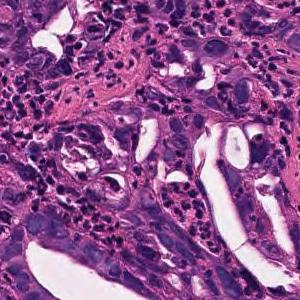
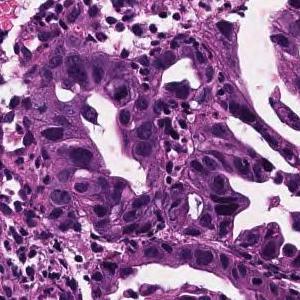
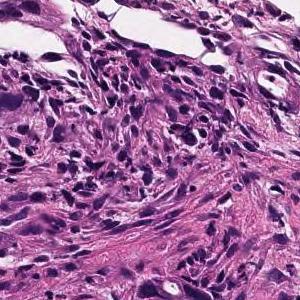
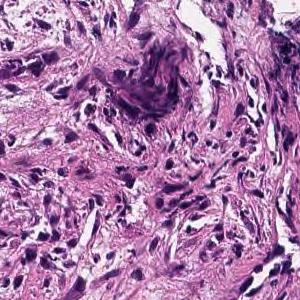
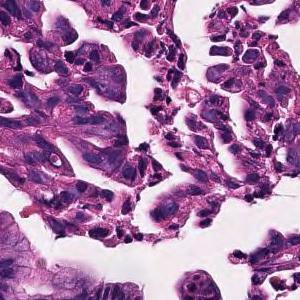
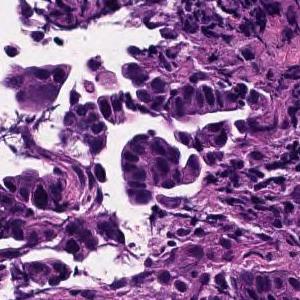
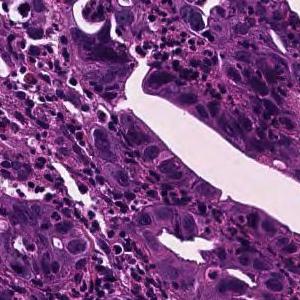
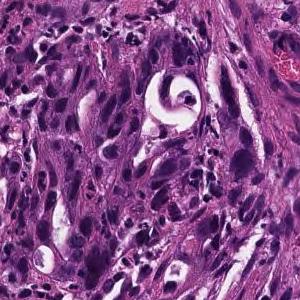
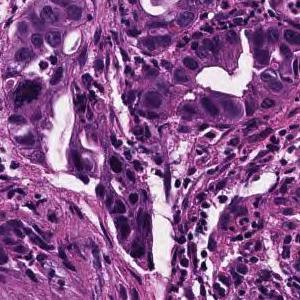
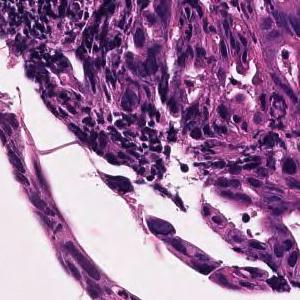
Hematoxylin and eosin stain, scanned at ×20, 10 tiles cut from one stomach biopsy slide, 300 × 300 pixels each.
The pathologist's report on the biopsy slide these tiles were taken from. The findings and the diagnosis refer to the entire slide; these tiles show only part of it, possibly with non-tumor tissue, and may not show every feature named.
In the superficial epithelium, medium-sized to small irregular glandular ducts are formed, and in some cases, the glandular ducts are fused or small cord-like infiltrating tumor tissue is observed. moderately differentiated tubular adenocarcinoma
